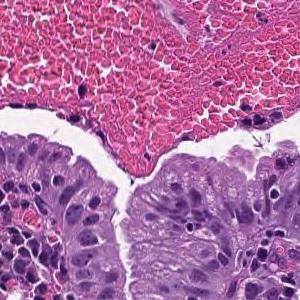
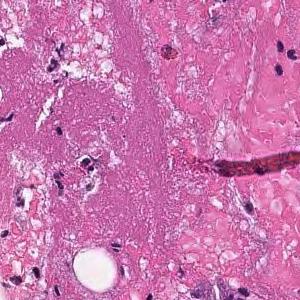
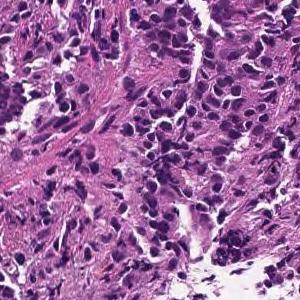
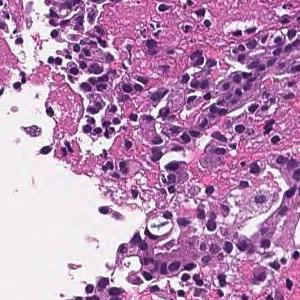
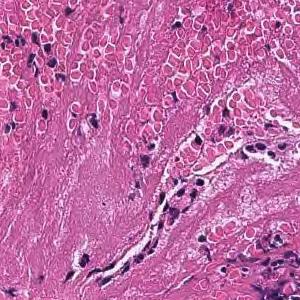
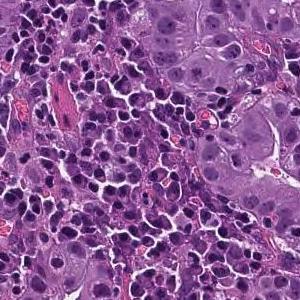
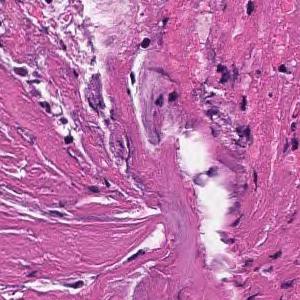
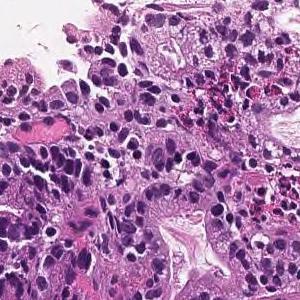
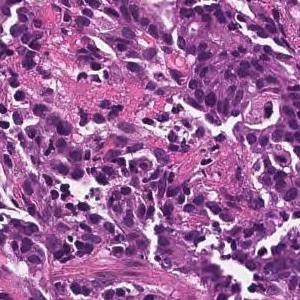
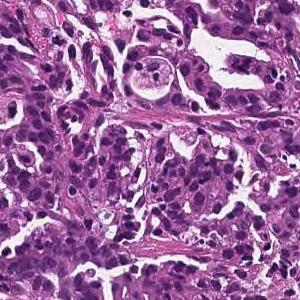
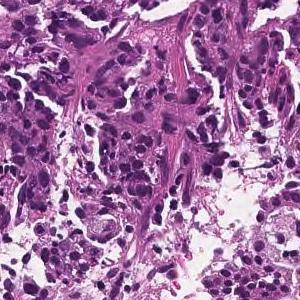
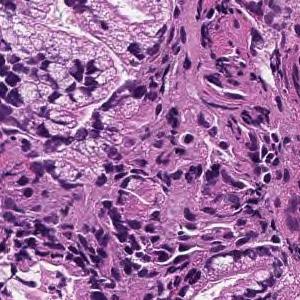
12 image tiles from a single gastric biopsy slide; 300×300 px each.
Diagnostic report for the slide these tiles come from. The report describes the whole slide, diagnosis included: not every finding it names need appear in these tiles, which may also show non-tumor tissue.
On the superficial epithelium, tumor tissue that infiltrates by forming medium-sized papillary or small irregular ducts is observed. Papillary adenocarcinoma
